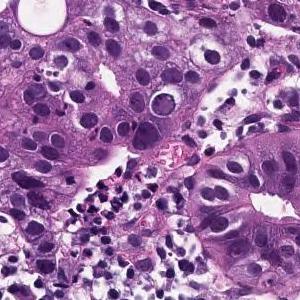
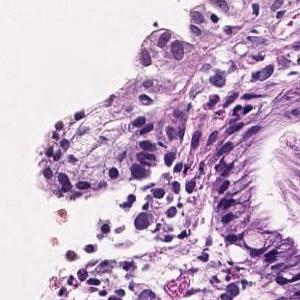
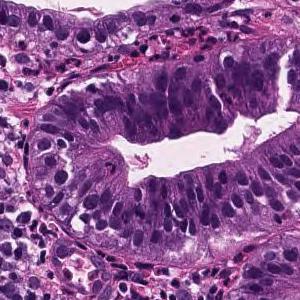
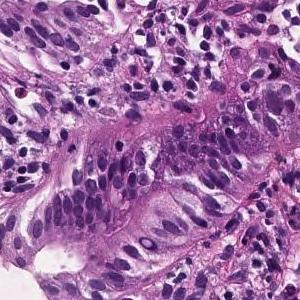
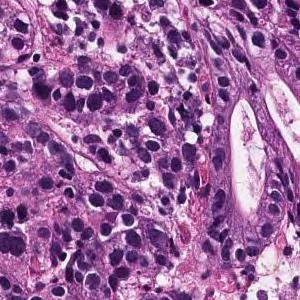
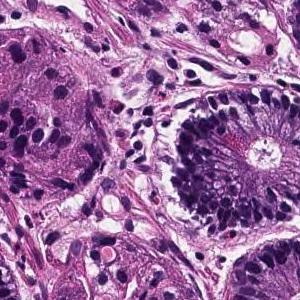
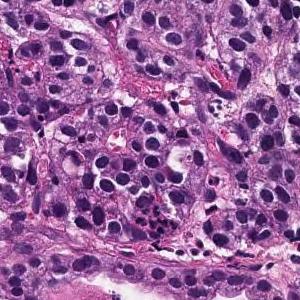
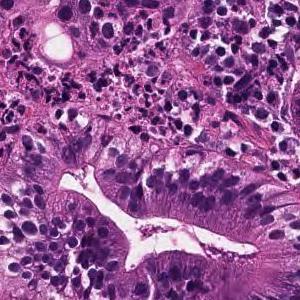
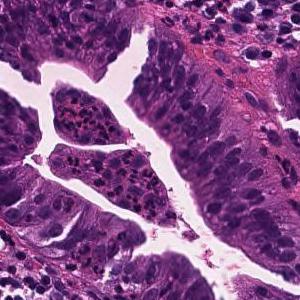
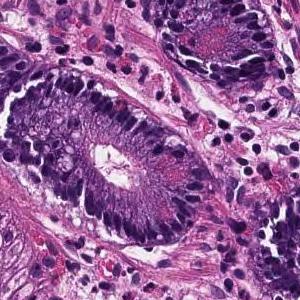
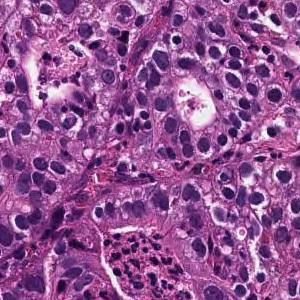
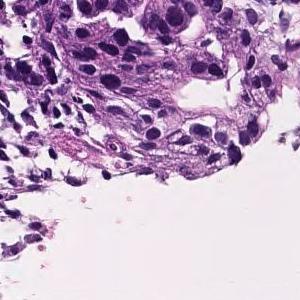
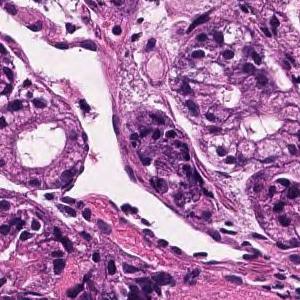
×20 · H&E stain · 13 tiles from the same stomach biopsy slide.
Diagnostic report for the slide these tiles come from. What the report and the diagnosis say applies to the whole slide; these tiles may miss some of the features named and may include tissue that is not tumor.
In the superficial epithelium, tumor tissue that invades by forming medium-sized to small, irregular ducts is observed. moderately differentiated tubular adenocarcinoma.
